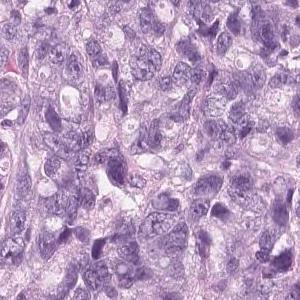
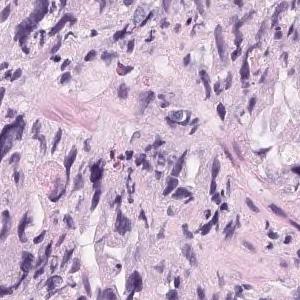
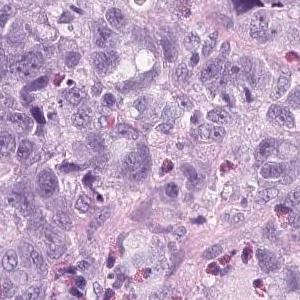
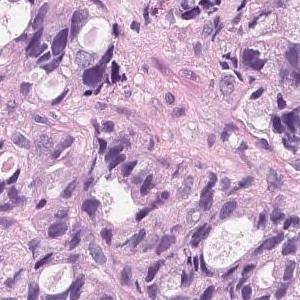
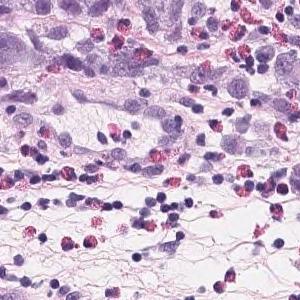
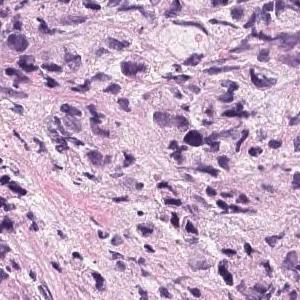
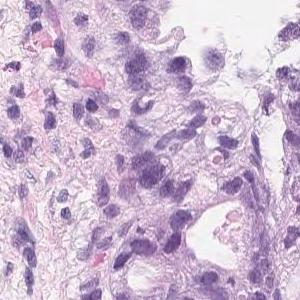
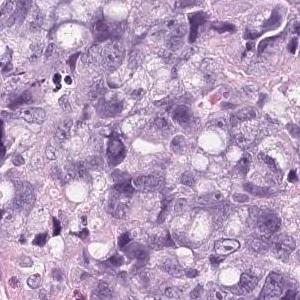
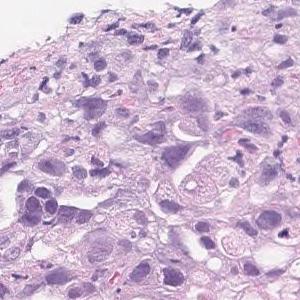
9 patches cut from one gastric biopsy slide; 300 × 300 pixels each; H&E; 20× magnification.
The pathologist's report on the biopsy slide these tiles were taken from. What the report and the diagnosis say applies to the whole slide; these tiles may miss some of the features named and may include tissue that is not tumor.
Tumor tissue that infiltrates and proliferates by forming small glandular cavities in the superficial layer to the submucosa or forming a mass is observed. moderately differentiated tubular adenocarcinoma
